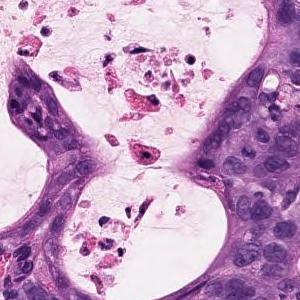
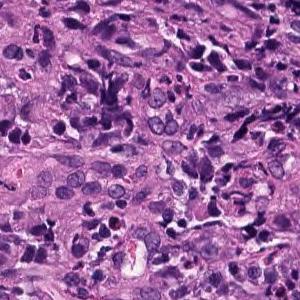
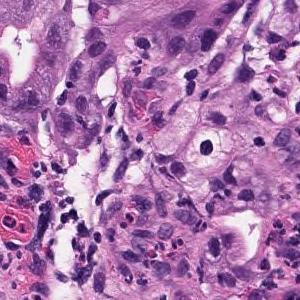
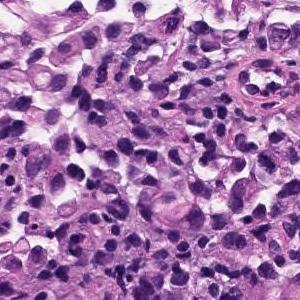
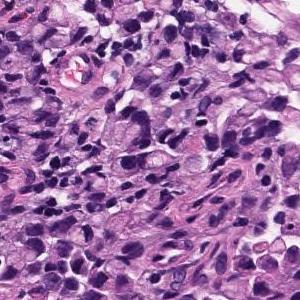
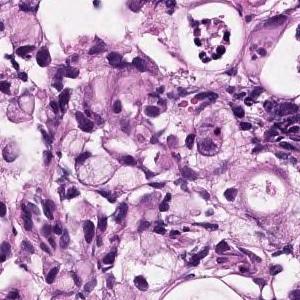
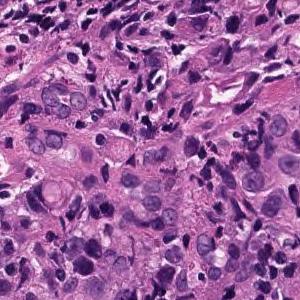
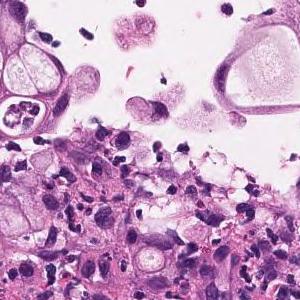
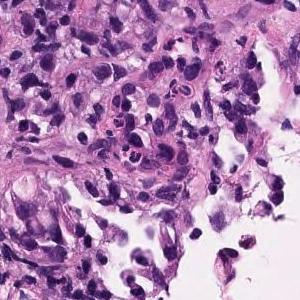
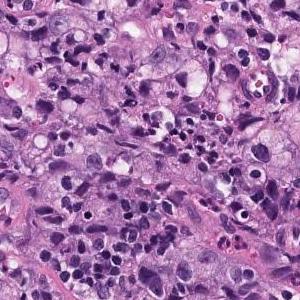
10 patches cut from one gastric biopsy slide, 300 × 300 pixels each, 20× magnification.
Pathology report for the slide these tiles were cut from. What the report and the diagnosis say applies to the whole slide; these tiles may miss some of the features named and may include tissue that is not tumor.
Atypical epithelium forms irregularly fused gland ducts and proliferates. Poorly differentiated adenocarcinoma.
Subtype: Poorly differentiated adenocarcinoma, non-solid type.
The term "non-solid type" comes from the Japanese Classification of Gastric Carcinoma.
